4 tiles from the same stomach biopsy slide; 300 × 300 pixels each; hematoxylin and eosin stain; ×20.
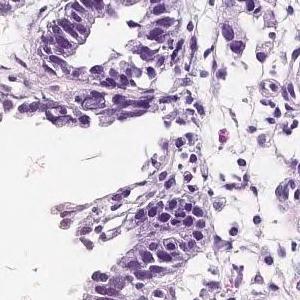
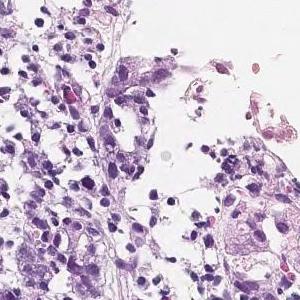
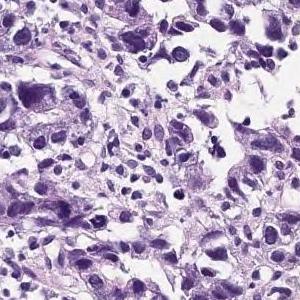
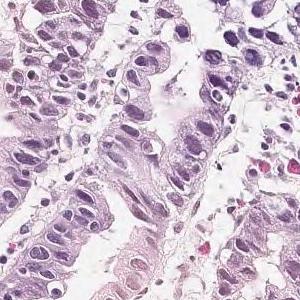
Diagnostic report for the slide these tiles come from. The report and the diagnosis describe the slide as a whole, so these tiles may not show every feature named and may include non-tumor tissue.
Well-differentiated tubular adenocarcinoma that grows with some small irregular ducts fused to the superficial epithelium. Well differentiated tubular adenocarcinoma
